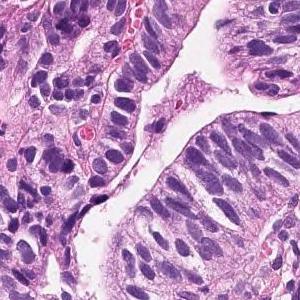
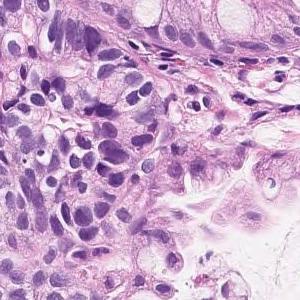
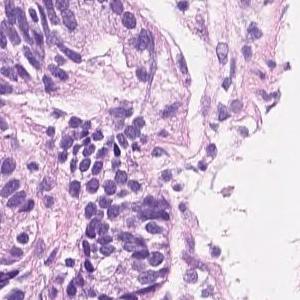
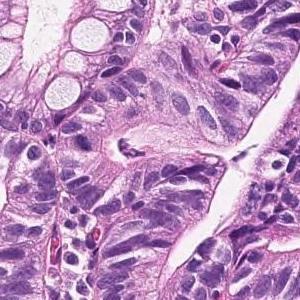
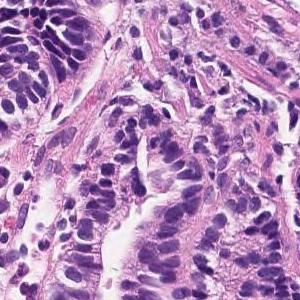
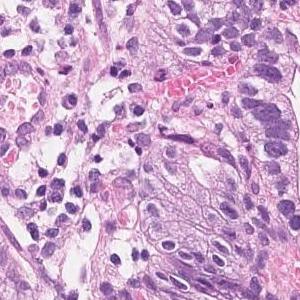
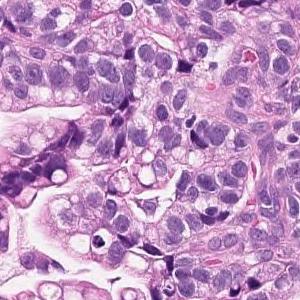
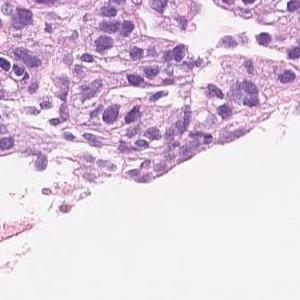
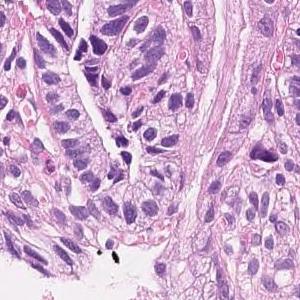
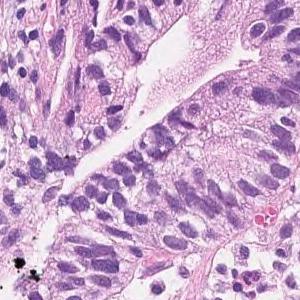
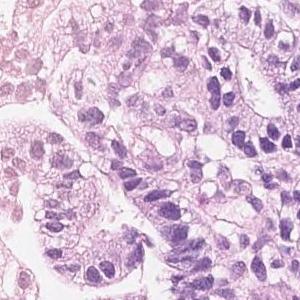
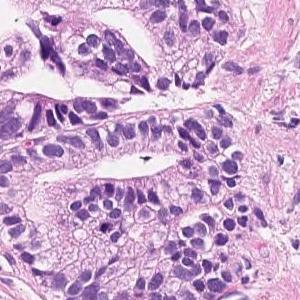
Hematoxylin and eosin stain · 12 image tiles from a single gastric biopsy slide · 300×300 px each.
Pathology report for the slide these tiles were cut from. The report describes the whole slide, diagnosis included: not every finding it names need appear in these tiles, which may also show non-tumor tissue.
On the superficial epithelium, there is a tumor tissue consisting of medium to small, irregular tubules that are partially fused and proliferated. Well to moderately differentiated tubular adenocarcinoma
